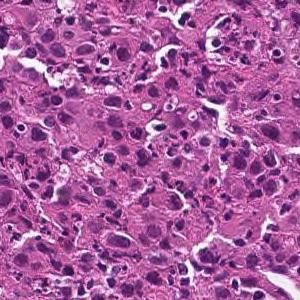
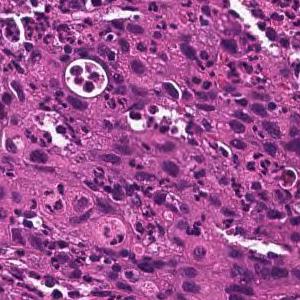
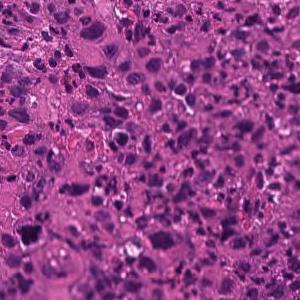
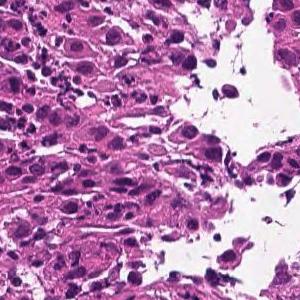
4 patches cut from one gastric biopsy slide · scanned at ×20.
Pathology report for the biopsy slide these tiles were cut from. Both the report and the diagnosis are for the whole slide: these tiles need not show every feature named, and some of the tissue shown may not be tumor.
The superficial epithelium shows a large sheet-like shape, and some tumor tissue infiltrates with small irregular ducts. Poorly differentiated adenocarcinoma, solid-type
Histological subtype: Poorly differentiated adenocarcinoma, solid type (Japanese Classification of Gastric Carcinoma). The WHO 2019 equivalent is tubular adenocarcinoma, poorly differentiated.
